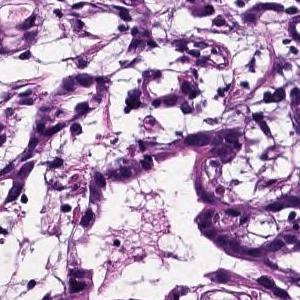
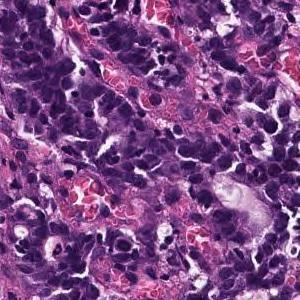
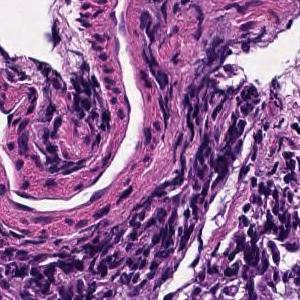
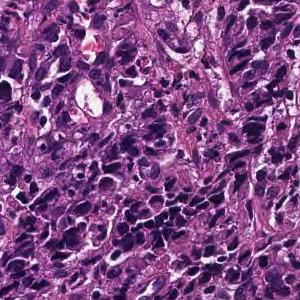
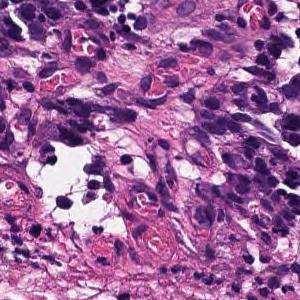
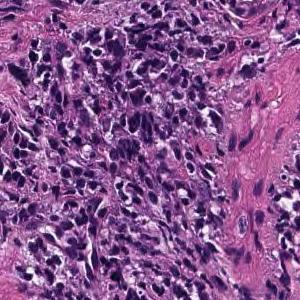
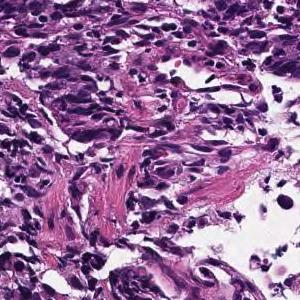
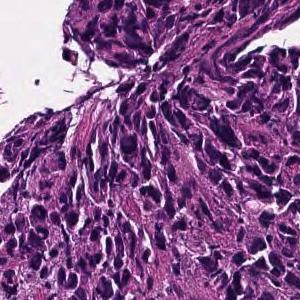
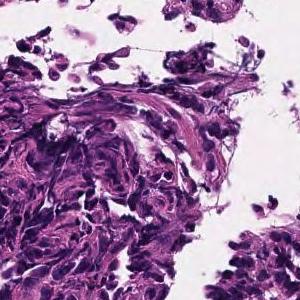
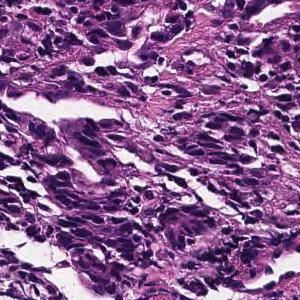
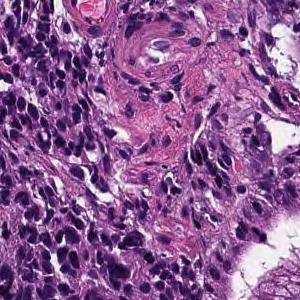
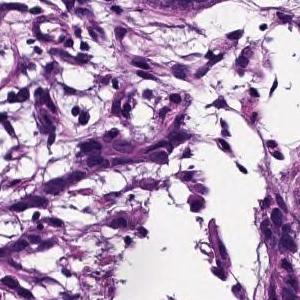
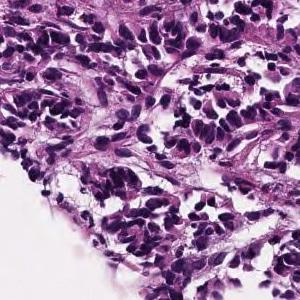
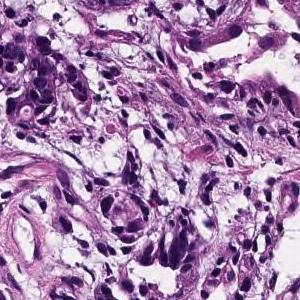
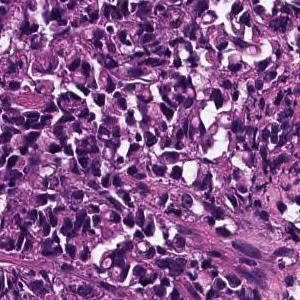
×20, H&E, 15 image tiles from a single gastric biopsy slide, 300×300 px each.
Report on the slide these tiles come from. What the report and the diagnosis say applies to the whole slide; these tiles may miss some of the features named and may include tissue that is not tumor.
Poorly differentiated, solid adenocarcinoma (poorly differentiated adenocarcinoma, solid type) with tumor tissue diffusely infiltrated with atypical epithelial cells
Histologic type: Poorly differentiated adenocarcinoma, solid type. This name comes from the Japanese Classification of Gastric Carcinoma; the WHO 2019 classification calls it tubular adenocarcinoma, poorly differentiated.
